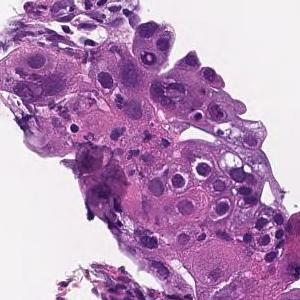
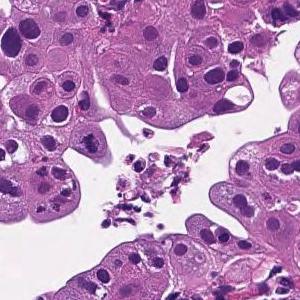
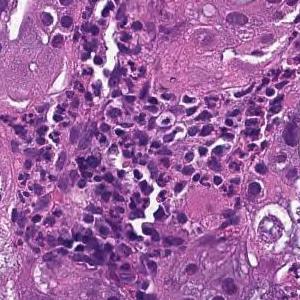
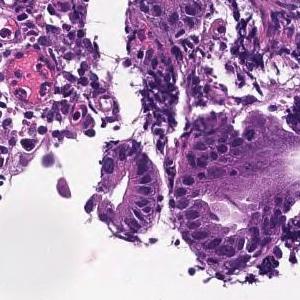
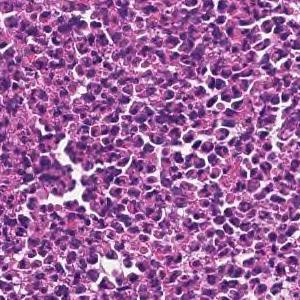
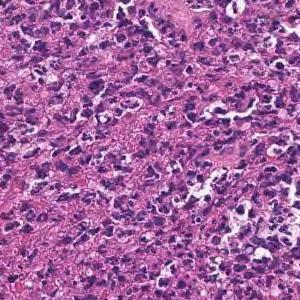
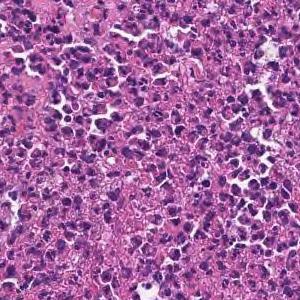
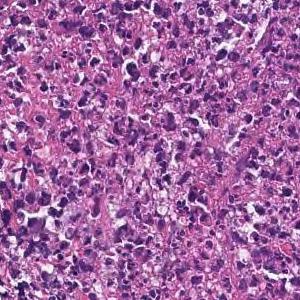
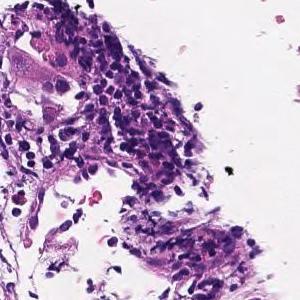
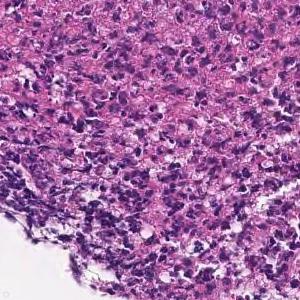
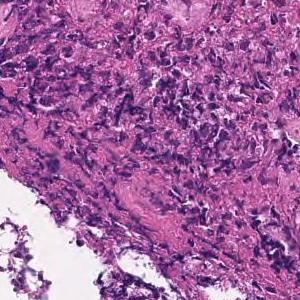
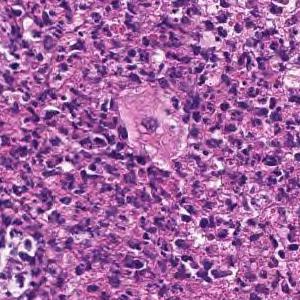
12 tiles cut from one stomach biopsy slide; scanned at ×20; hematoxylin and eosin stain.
Diagnostic report for the slide these tiles come from. The findings and the diagnosis refer to the entire slide; these tiles show only part of it, possibly with non-tumor tissue, and may not show every feature named.
In the superficial epithelium, tumor tissue infiltrated by partial fusion of medium-sized to small, irregular glandular ducts is observed. moderately differentiated tubular adenocarcinoma
